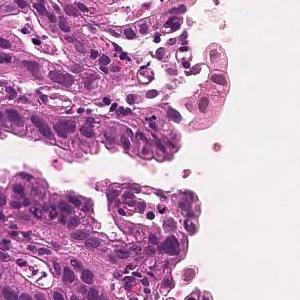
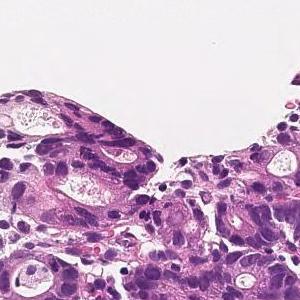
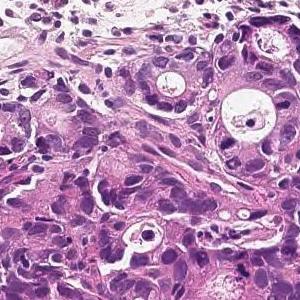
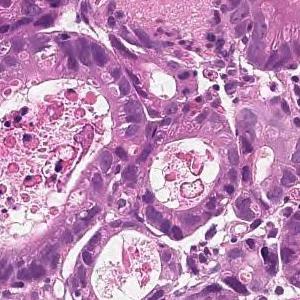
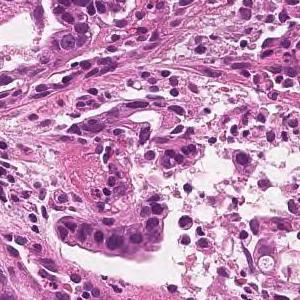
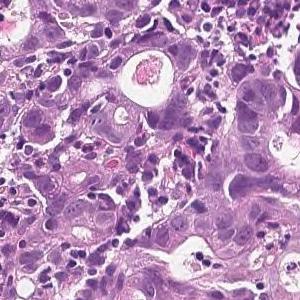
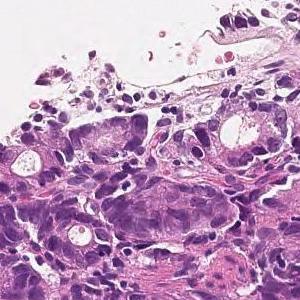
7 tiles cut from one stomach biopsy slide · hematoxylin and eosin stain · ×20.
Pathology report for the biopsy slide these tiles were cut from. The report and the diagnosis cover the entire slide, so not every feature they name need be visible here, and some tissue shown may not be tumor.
On the superficial epithelium, tumor tissue is found in which medium-sized irregular gland ducts fuse with each other and infiltrate. moderately differentiated tubular adenocarcinoma
